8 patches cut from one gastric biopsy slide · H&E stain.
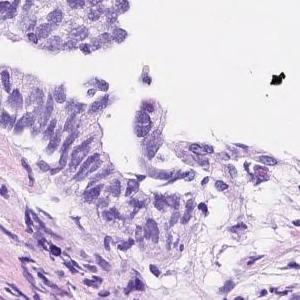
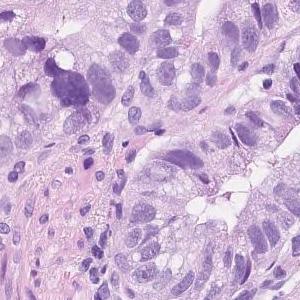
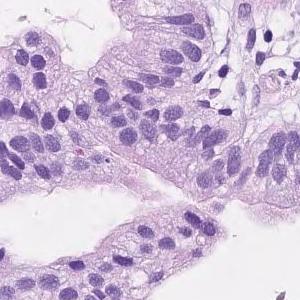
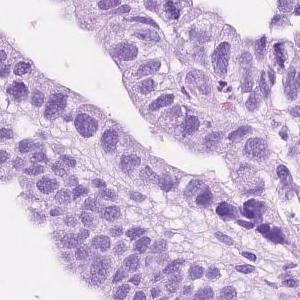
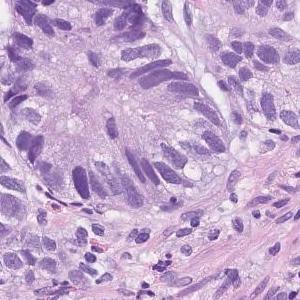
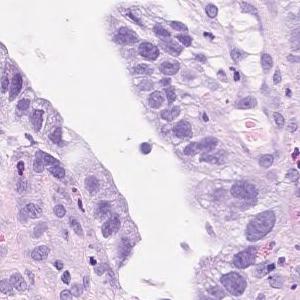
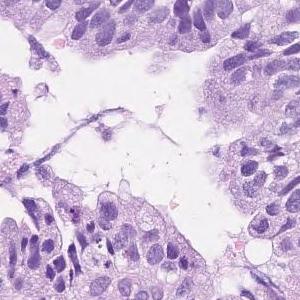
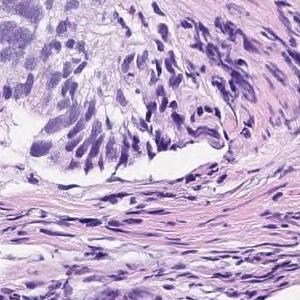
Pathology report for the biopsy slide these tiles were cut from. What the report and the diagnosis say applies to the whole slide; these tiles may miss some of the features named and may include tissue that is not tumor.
Atypical l cells with atypical nuclei forming solid or diffuse vesicles or small irregular atypical ducts and growing in a complex manner. moderately differentiated tubular adenocarcinoma
